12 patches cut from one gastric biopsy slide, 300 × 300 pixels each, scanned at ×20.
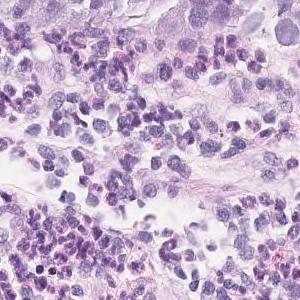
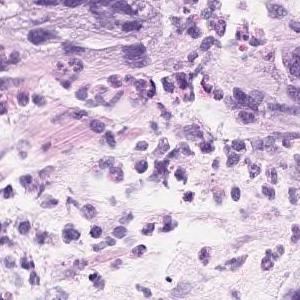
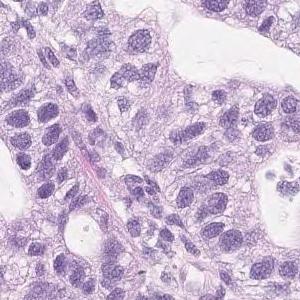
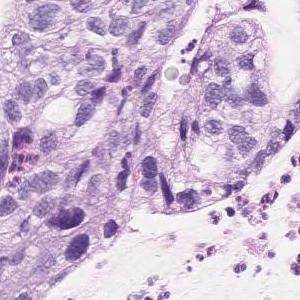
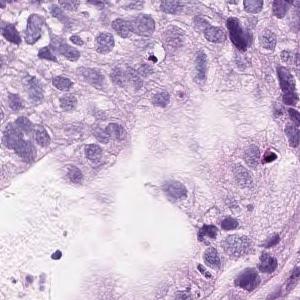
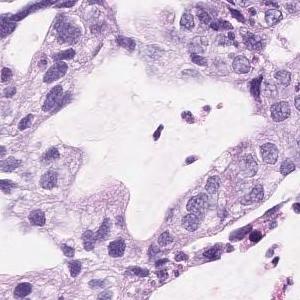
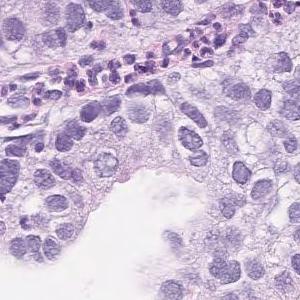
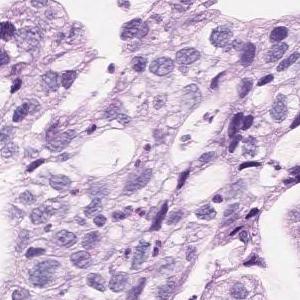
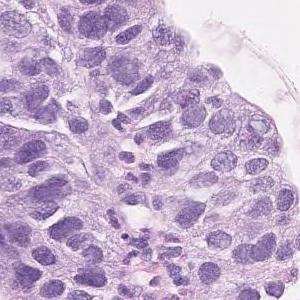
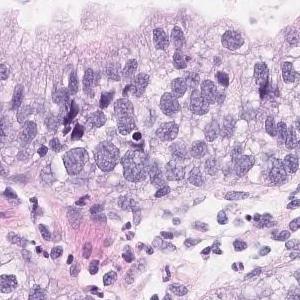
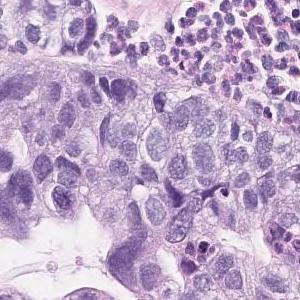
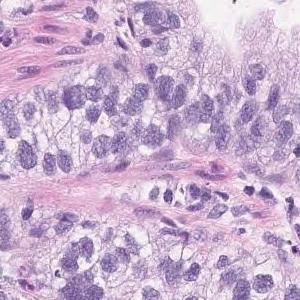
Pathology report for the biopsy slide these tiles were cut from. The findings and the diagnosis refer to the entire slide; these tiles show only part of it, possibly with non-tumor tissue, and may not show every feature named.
On the superficial epithelium, tumor tissue consisting of large, irregular glandular ducts partially fused and infiltrated is observed. Well to moderately differentiated tubular adenocarcinoma (well differentiated tubular adenocarcinoma, moderately differentiated tubular adenocarcinoma)
Histological subtype: Well to moderately differentiated tubular adenocarcinoma.
